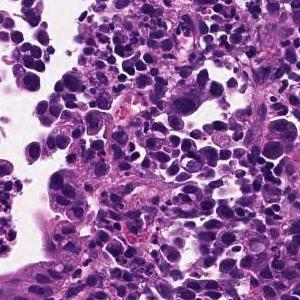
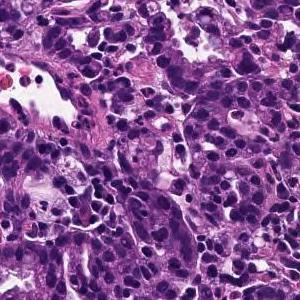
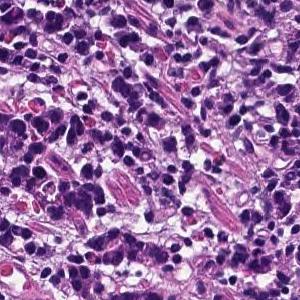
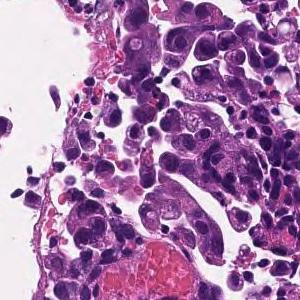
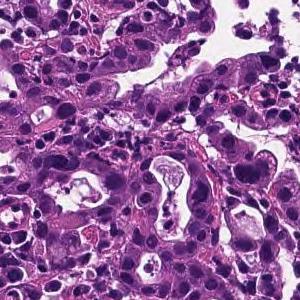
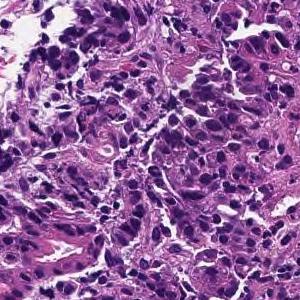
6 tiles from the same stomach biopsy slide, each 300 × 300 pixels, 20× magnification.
Pathology report for the slide these tiles were cut from. Both the report and the diagnosis are for the whole slide: these tiles need not show every feature named, and some of the tissue shown may not be tumor.
In the superficial epithelium, tumor tissue that invades by forming medium-sized to small, irregular ducts is observed. moderately differentiated tubular adenocarcinoma.
